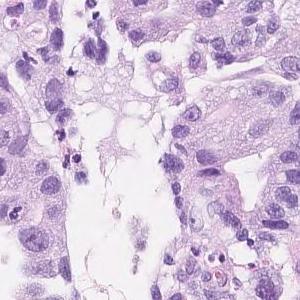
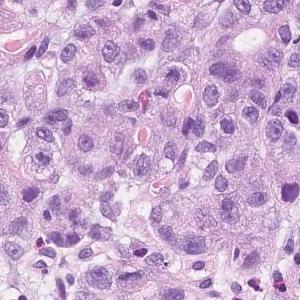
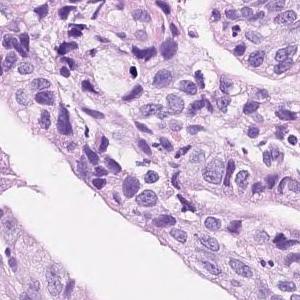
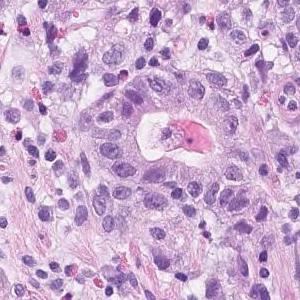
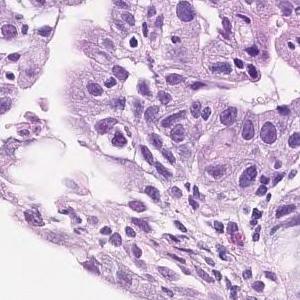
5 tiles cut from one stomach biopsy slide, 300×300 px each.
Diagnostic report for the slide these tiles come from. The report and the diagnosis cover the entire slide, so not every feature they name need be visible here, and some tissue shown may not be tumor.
In the superficial epithelium, tumor tissue that invades by forming medium-sized to small, irregular ducts is observed. Moderately to poorly differentiated adenocarcinoma
